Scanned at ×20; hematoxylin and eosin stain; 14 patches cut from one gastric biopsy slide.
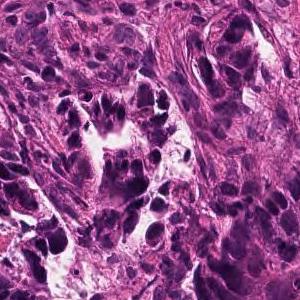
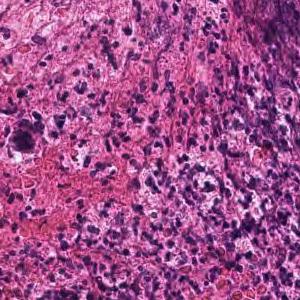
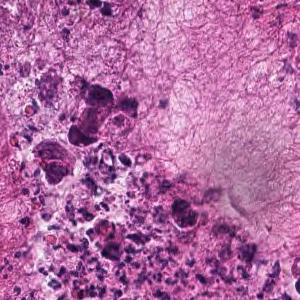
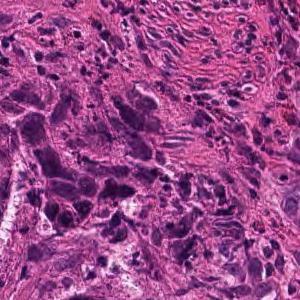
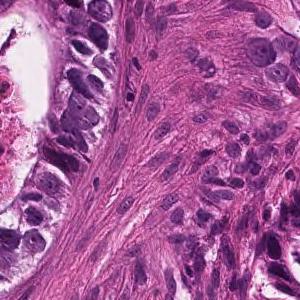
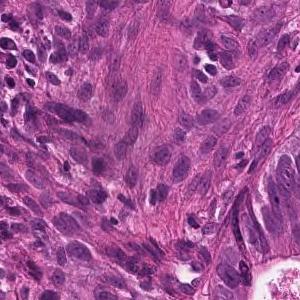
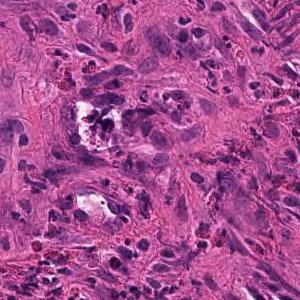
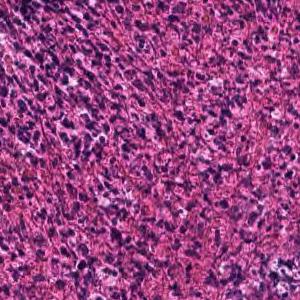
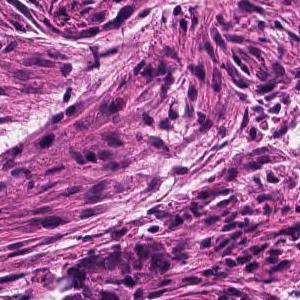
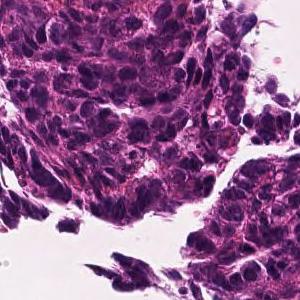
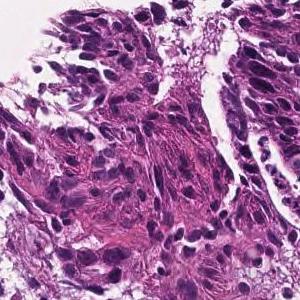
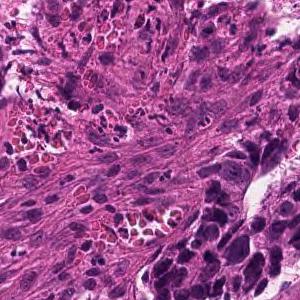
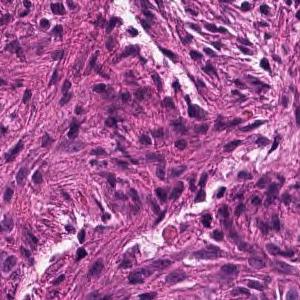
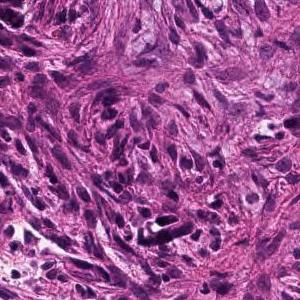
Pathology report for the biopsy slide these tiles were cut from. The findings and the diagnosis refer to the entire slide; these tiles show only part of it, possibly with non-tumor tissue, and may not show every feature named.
In the superficial epithelium, tumor tissue that invades by forming medium-sized to small, irregular ducts is observed. moderately differentiated tubular adenocarcinoma.
